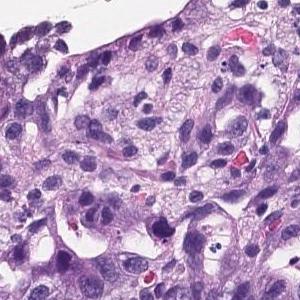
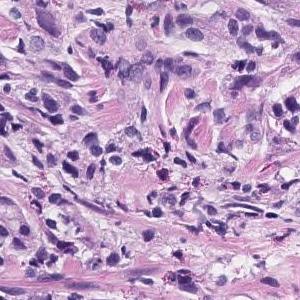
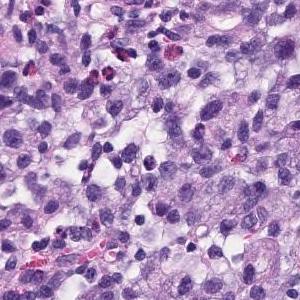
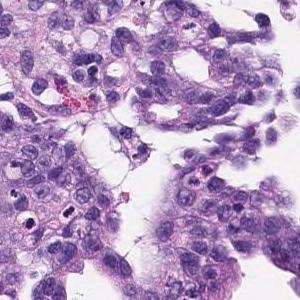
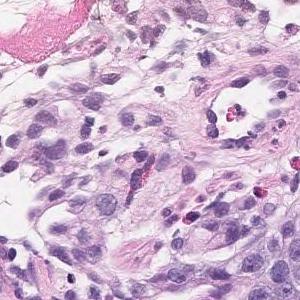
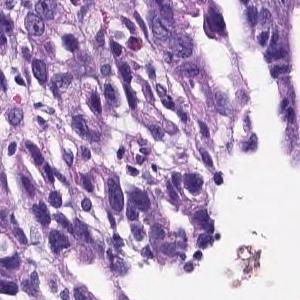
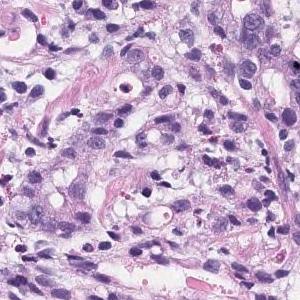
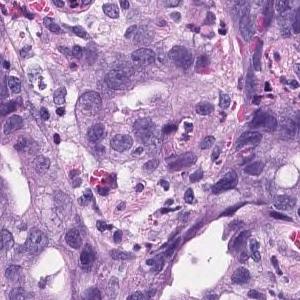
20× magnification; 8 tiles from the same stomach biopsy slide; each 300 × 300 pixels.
Diagnostic report for the slide these tiles come from. The report describes the whole slide, diagnosis included: not every finding it names need appear in these tiles, which may also show non-tumor tissue.
There are atypical l cells with atypical nuclei forming cord-like or irregular atypical ducts from solidity and proliferating in a comprehensive manner. Poorly differentiated adenocarcinoma, Moderately differentiated adenocarcinoma (poorly differentiated adenocarcinoma, solid type moderately differentiated tubular adenocarcinoma)
Subtype: Moderately to poorly differentiated adenocarcinoma.
The term "solid type" comes from the Japanese Classification of Gastric Carcinoma; the WHO 2019 equivalent is tubular adenocarcinoma, poorly differentiated.
